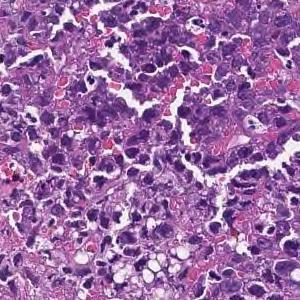
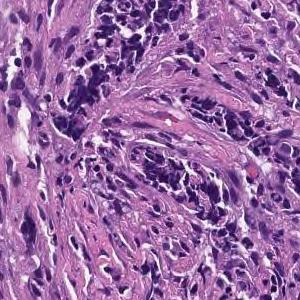
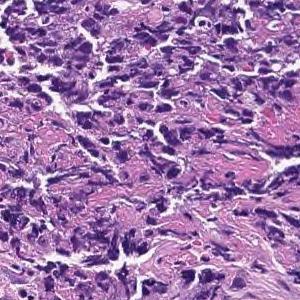
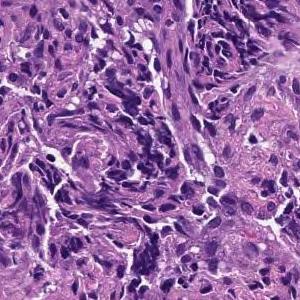
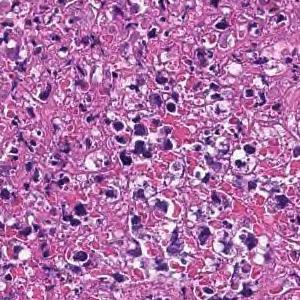
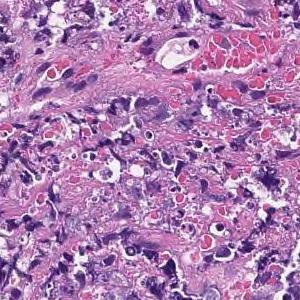
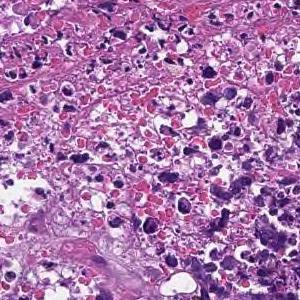
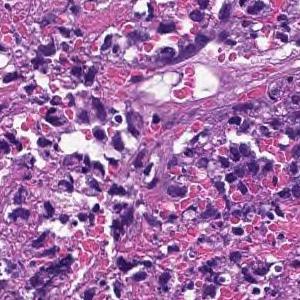
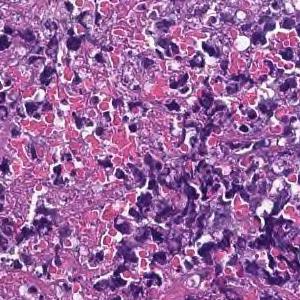
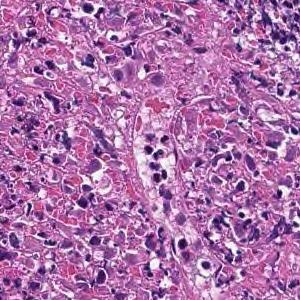
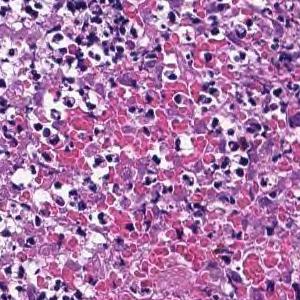
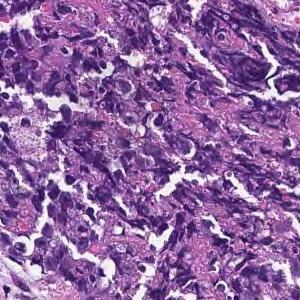
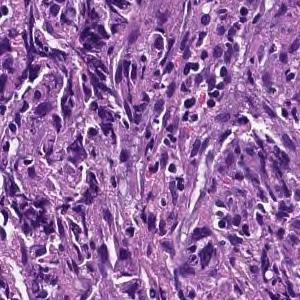
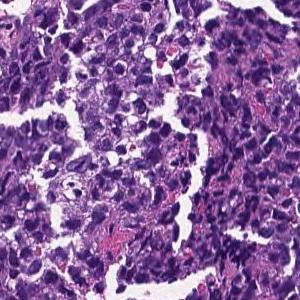
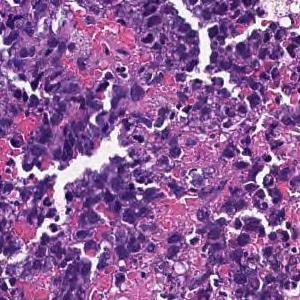
Hematoxylin and eosin stain; 20× magnification; 15 tiles cut from one stomach biopsy slide; 300×300 px each.
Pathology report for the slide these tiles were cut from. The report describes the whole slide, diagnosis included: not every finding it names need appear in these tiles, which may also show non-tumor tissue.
Most are composed of coagulative necrotic tissue, but some show a large sheet-like shape, and some show tumor tissue infiltrating with a small cord-like structure. Poorly differentiated adenocarcinoma, solid-type
Classified as poorly differentiated adenocarcinoma, solid type (Japanese Classification of Gastric Carcinoma). The WHO 2019 equivalent is tubular adenocarcinoma, poorly differentiated.
